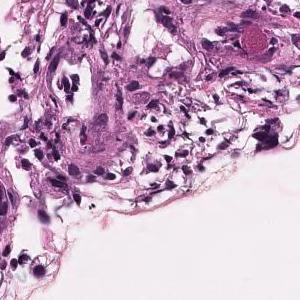
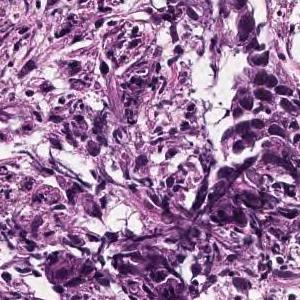
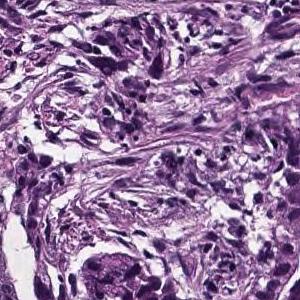
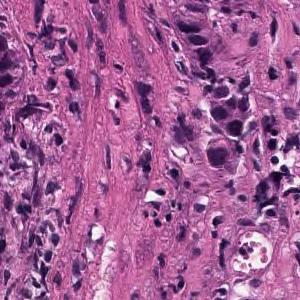
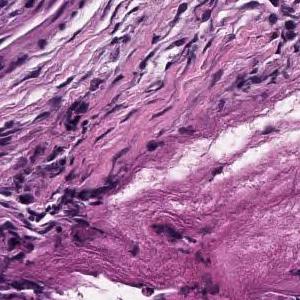
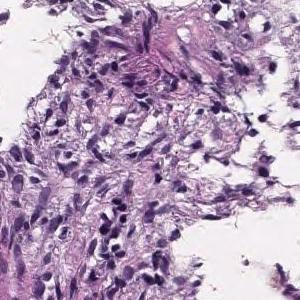
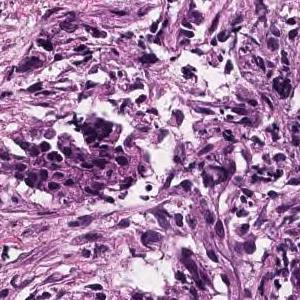
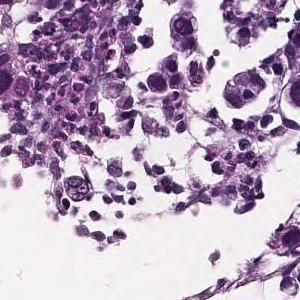
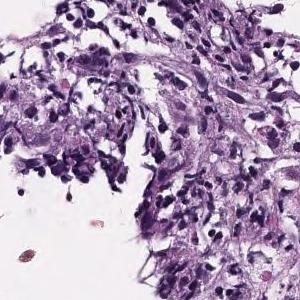
H&E stain, scanned at ×20, 9 tiles from the same stomach biopsy slide, each 300 × 300 pixels.
Diagnostic report for the slide these tiles come from. The report and the diagnosis describe the slide as a whole, so these tiles may not show every feature named and may include non-tumor tissue.
In the superficial epithelium, tumor tissue that invades by forming medium-sized to small, irregular ducts is observed. moderately differentiated tubular adenocarcinoma.
